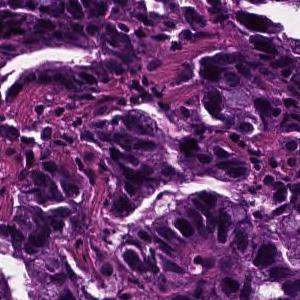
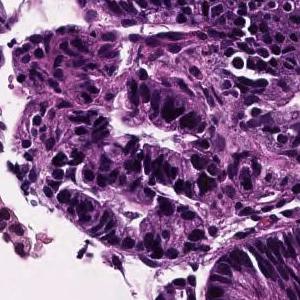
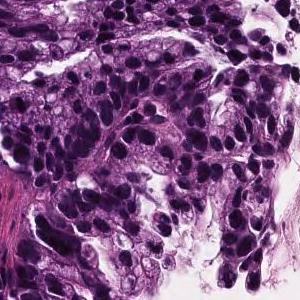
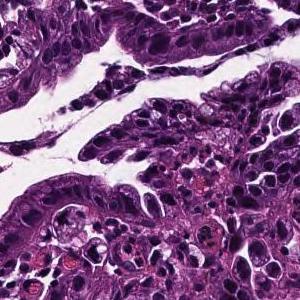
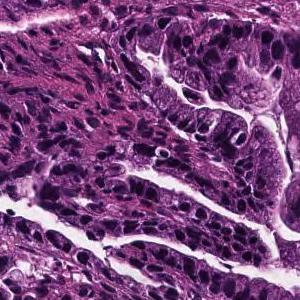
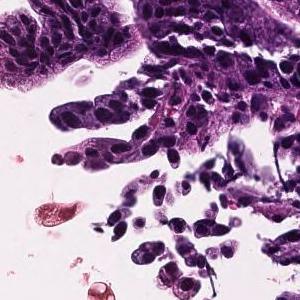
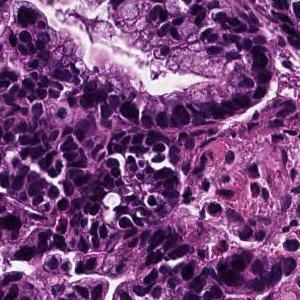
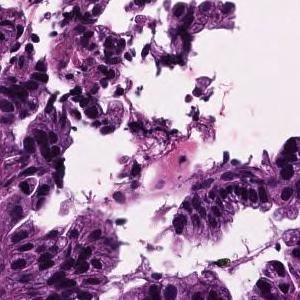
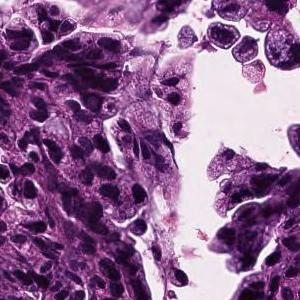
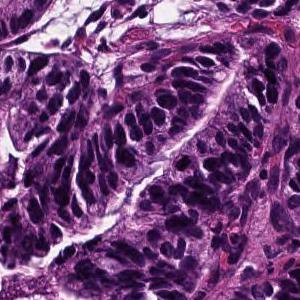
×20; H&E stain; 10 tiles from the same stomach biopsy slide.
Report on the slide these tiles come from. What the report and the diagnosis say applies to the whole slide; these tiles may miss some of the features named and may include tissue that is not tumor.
In the superficial epithelium, tumor tissue that invades by forming medium-sized to small, irregular ducts is observed. Well differentiated tubular adenocarcinoma.
